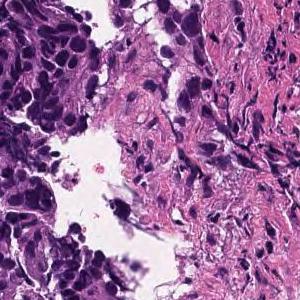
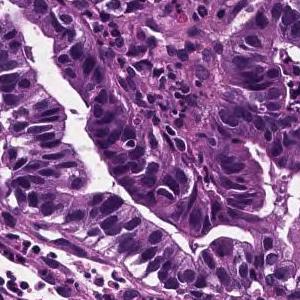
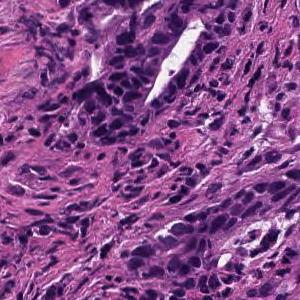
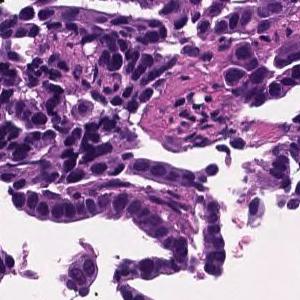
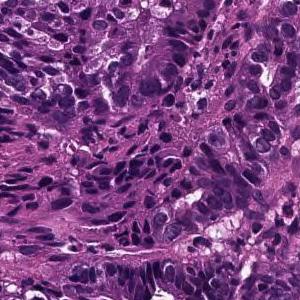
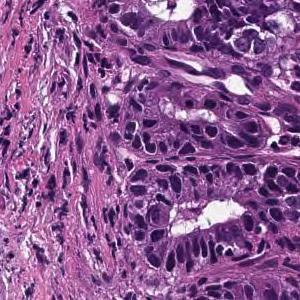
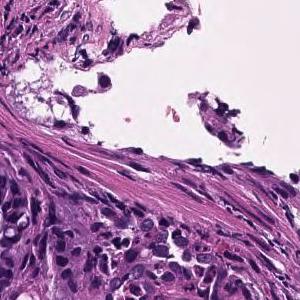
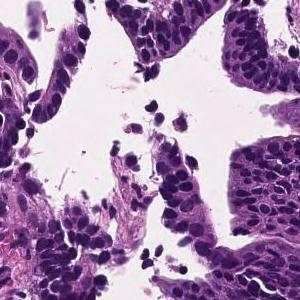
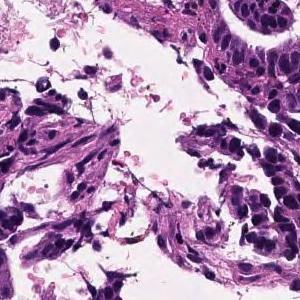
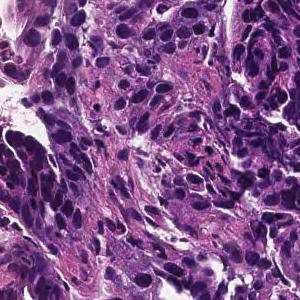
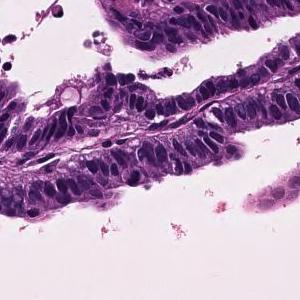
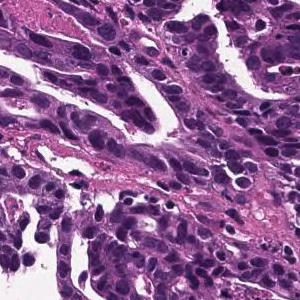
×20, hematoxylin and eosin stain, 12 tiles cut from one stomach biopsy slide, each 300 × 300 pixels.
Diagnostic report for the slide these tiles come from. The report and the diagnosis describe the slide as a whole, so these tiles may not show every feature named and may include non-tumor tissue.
Tumor cells are large, highly columnar, large club-shaped nuclei, and are associated with chromatin aggregation. Papillary adenocarcinoma.
